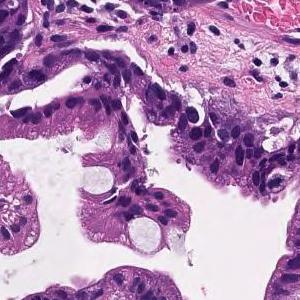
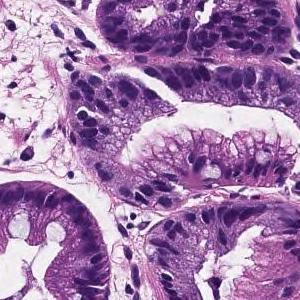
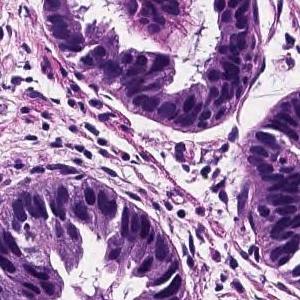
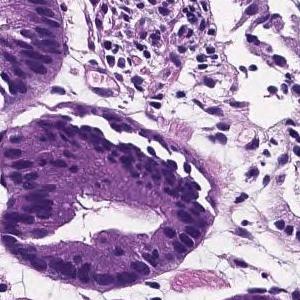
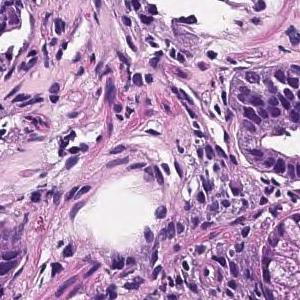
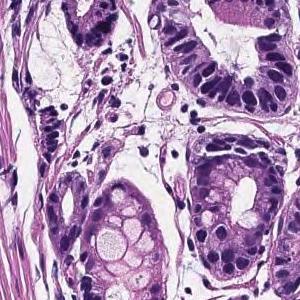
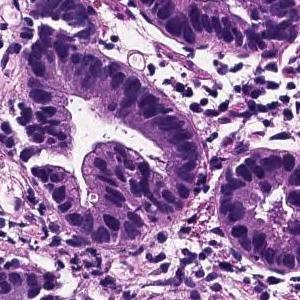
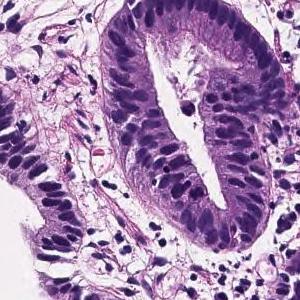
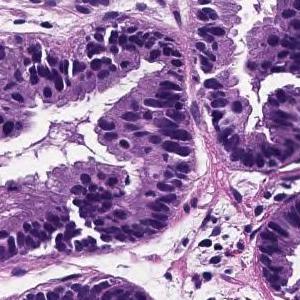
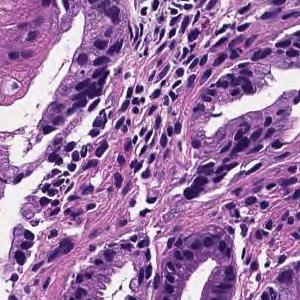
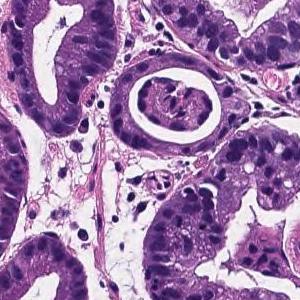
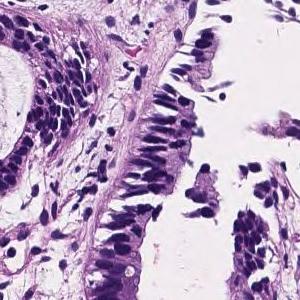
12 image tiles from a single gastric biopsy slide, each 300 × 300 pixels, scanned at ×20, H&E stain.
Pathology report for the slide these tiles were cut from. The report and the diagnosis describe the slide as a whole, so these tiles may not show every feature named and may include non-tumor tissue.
Tumor cells are large, highly columnar, large club-shaped nuclei, and are associated with chromatin aggregation. Papillary adenocarcinoma.
